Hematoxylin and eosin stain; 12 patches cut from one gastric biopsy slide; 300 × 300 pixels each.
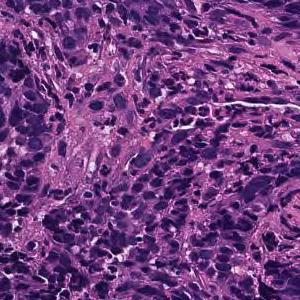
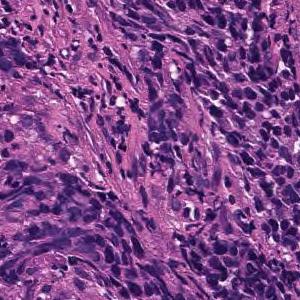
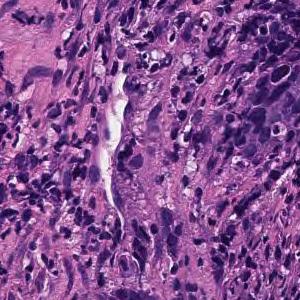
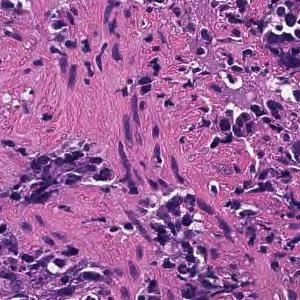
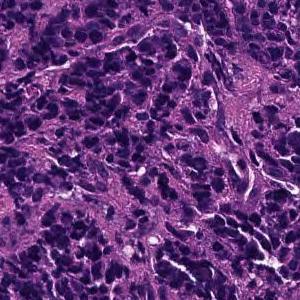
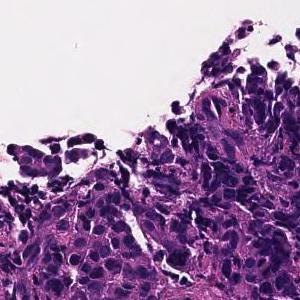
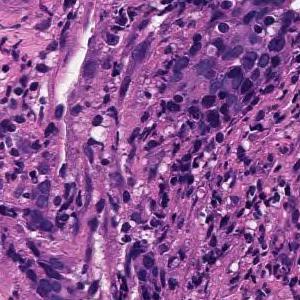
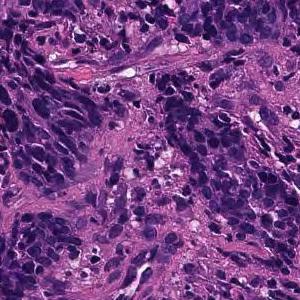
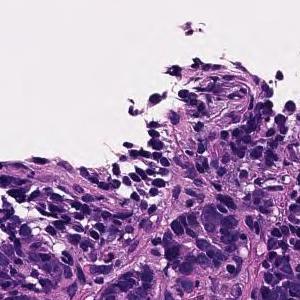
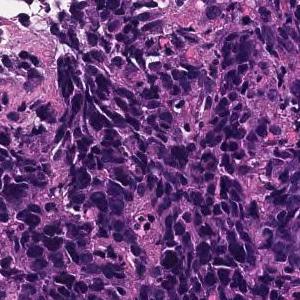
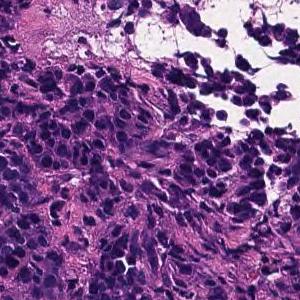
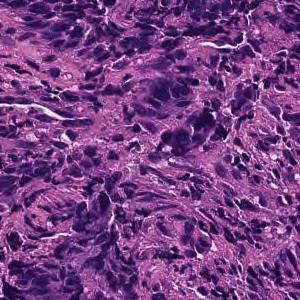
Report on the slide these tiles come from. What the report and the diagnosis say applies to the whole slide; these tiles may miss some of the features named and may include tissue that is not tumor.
Tumor tissue consisting of cord-like or small, irregular glandular ducts fused and infiltrated is observed in the superficial epithelium. Poorly differentiated adenocarcinoma, non-solid type
The non-solid type named here is a Japanese Classification of Gastric Carcinoma category.
